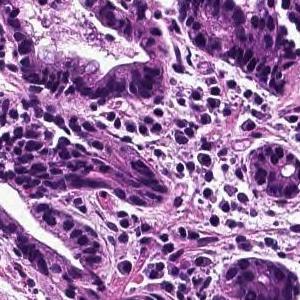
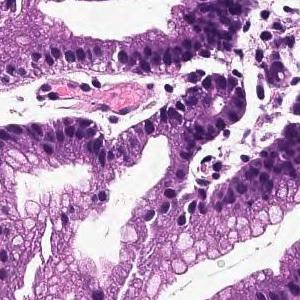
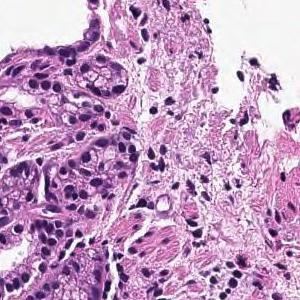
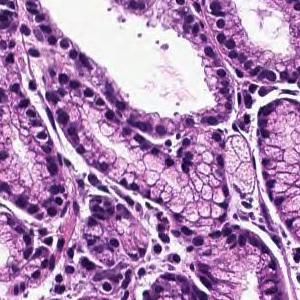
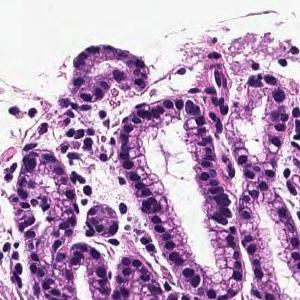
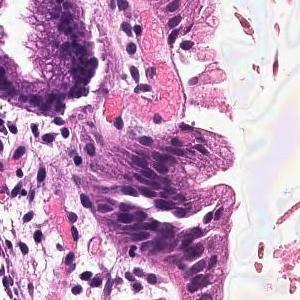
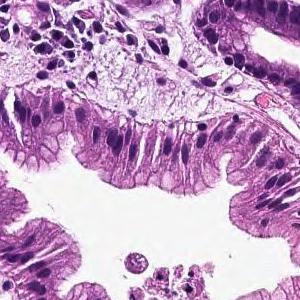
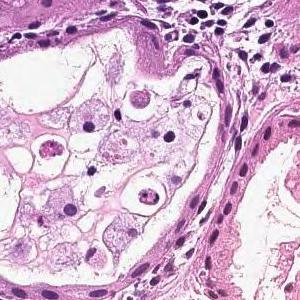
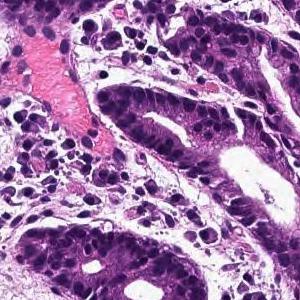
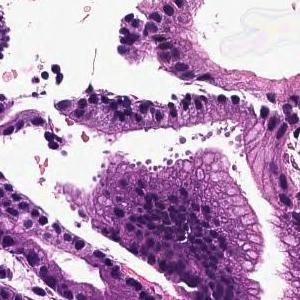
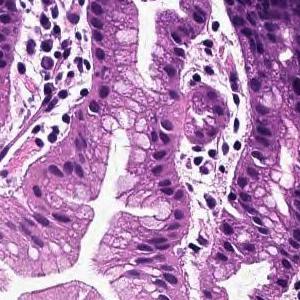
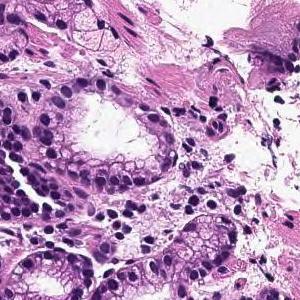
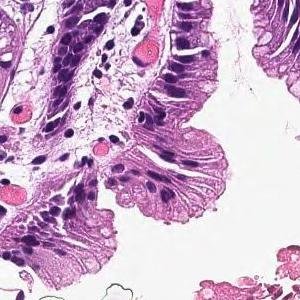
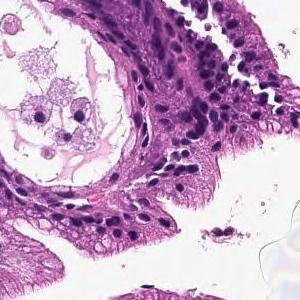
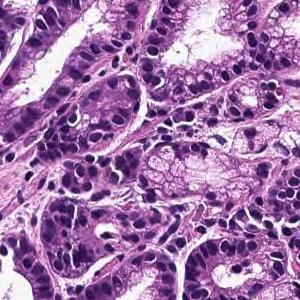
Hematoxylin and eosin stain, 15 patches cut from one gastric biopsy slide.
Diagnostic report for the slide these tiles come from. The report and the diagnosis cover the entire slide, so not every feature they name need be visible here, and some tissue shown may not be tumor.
In the superficial epithelium, tumor tissue that invades by forming medium-sized to small, irregular ducts is observed. moderately differentiated tubular adenocarcinoma.
